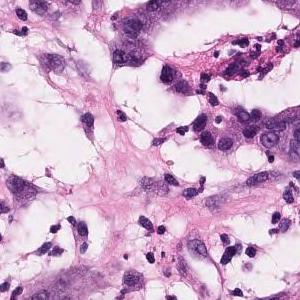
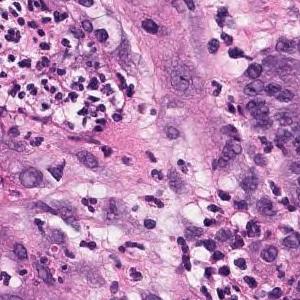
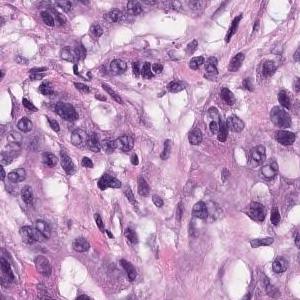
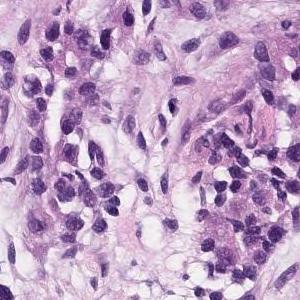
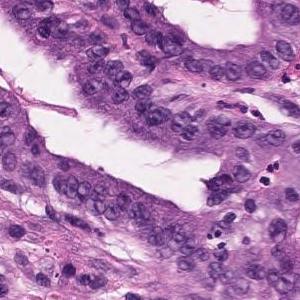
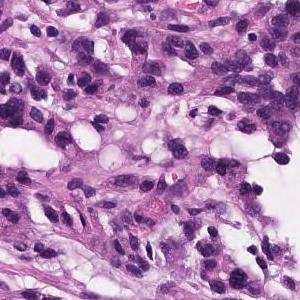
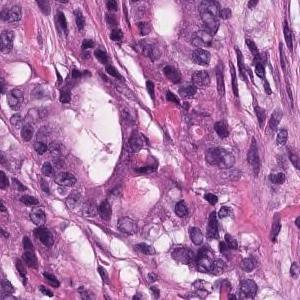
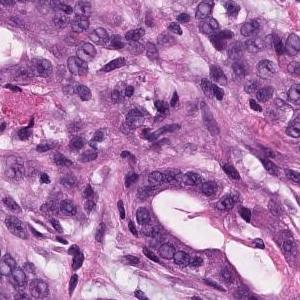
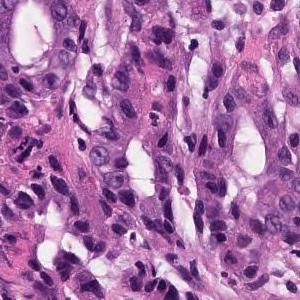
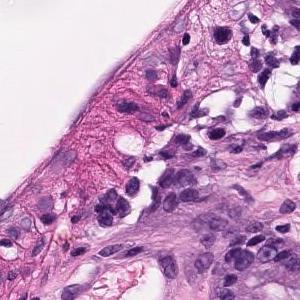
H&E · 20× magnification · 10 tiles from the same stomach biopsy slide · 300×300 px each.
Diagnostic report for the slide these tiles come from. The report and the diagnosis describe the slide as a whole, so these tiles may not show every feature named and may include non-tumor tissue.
In the superficial epithelium, tumor tissue that invades by forming medium-sized to small, irregular ducts is observed. Moderately differentiated adenocarcinoma.
Histological subtype: Moderately differentiated tubular adenocarcinoma.
